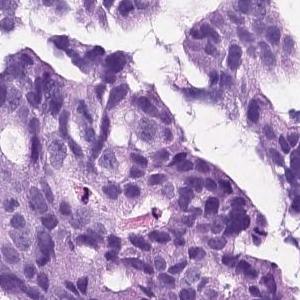
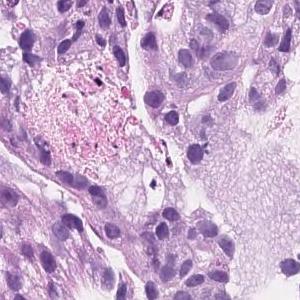
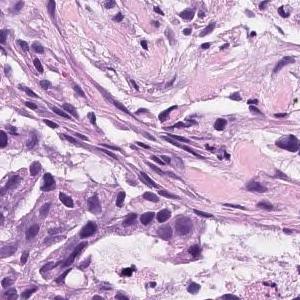
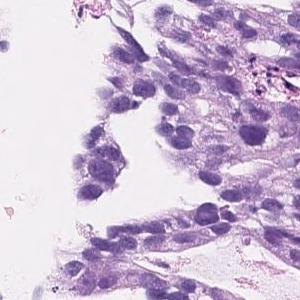
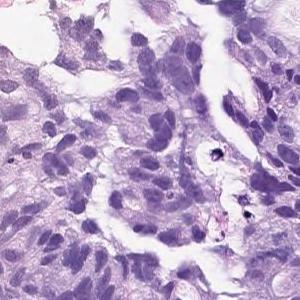
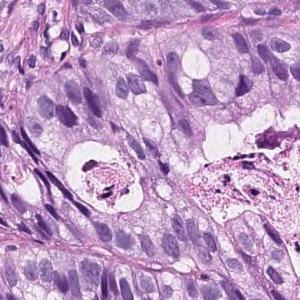
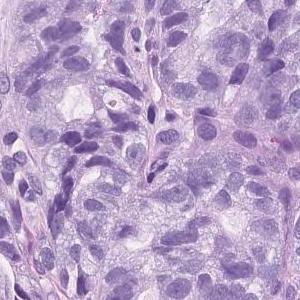
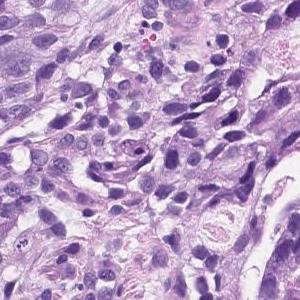
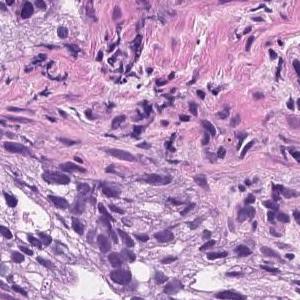
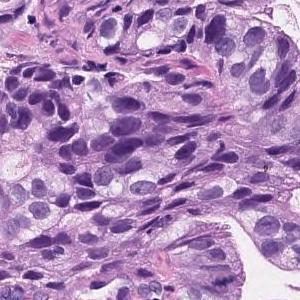
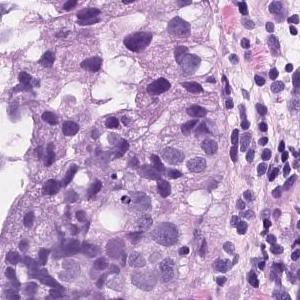
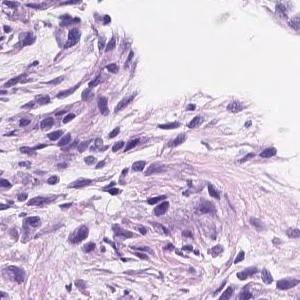
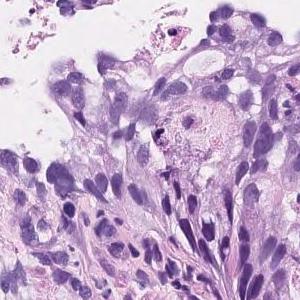
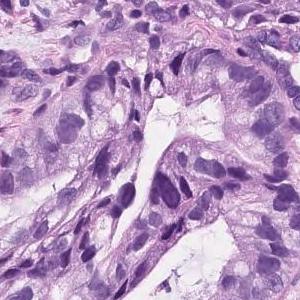
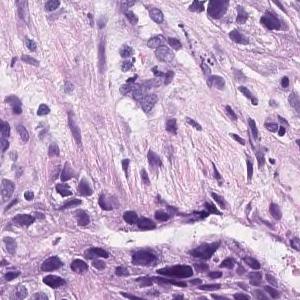
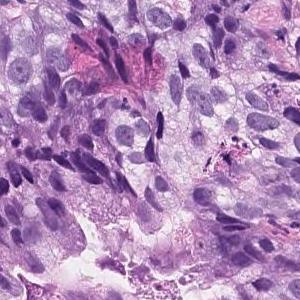
H&E stain · 20× magnification · 16 tiles from the same stomach biopsy slide.
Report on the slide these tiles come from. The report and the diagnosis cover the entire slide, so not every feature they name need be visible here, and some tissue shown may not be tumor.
On the superficial epithelium, tumor tissue consisting of an image of large, irregular glandular ducts partially fused and infiltrated is observed. Well to moderately differentiated tubular adenocarcinoma
